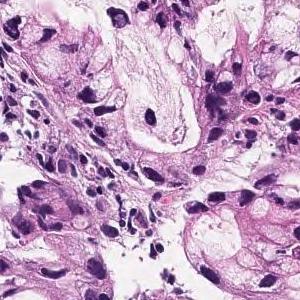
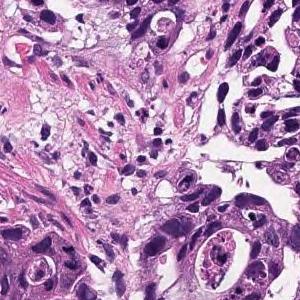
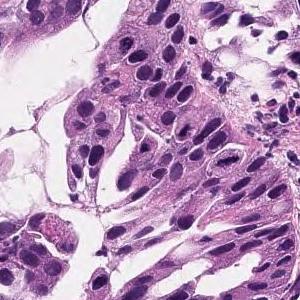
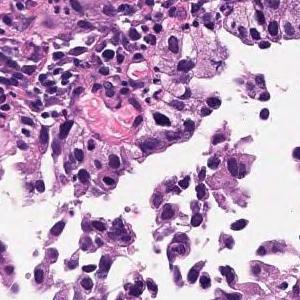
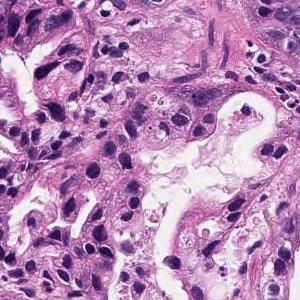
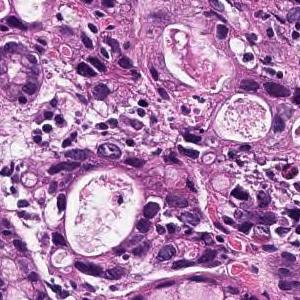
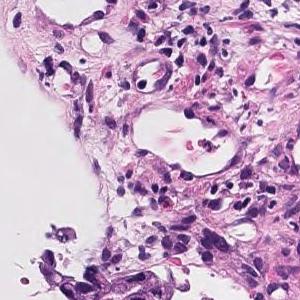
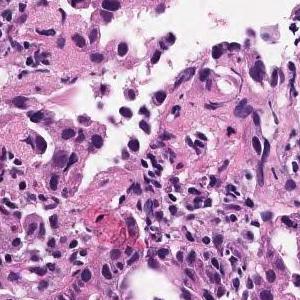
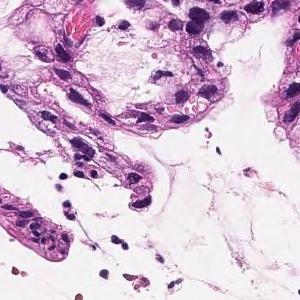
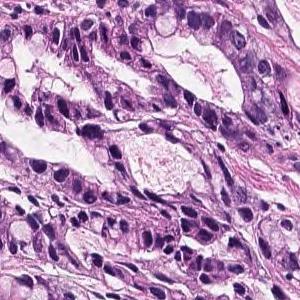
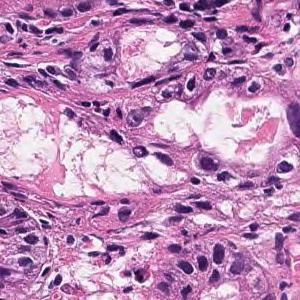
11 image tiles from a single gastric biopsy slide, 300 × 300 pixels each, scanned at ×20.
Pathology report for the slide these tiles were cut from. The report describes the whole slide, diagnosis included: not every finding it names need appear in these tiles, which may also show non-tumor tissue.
In the superficial epithelium, tumor tissue that invades by forming medium-sized to small, irregular ducts is observed. Moderately differentiated adenocarcinoma.
Histological subtype: Moderately differentiated tubular adenocarcinoma.
